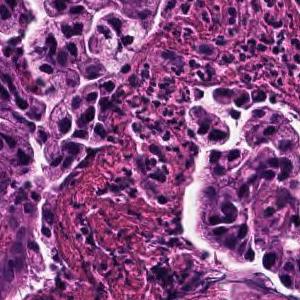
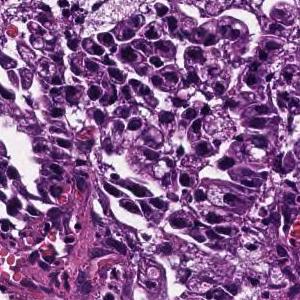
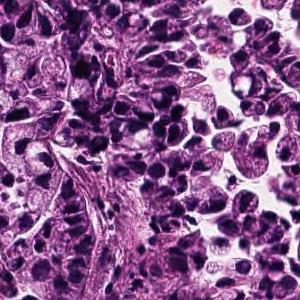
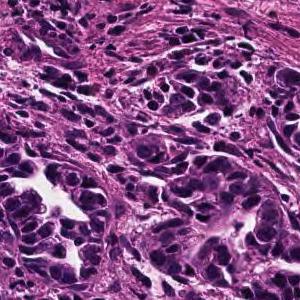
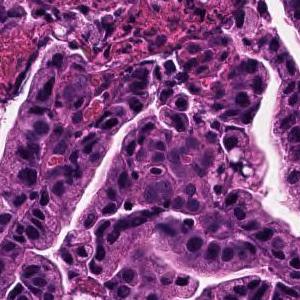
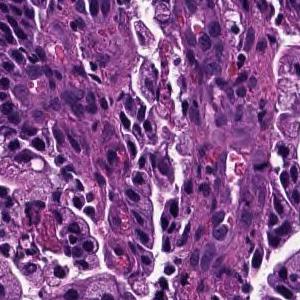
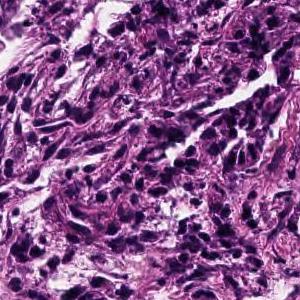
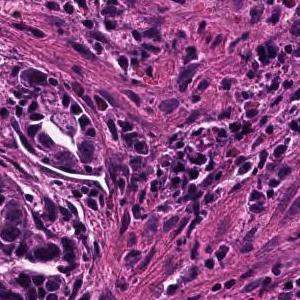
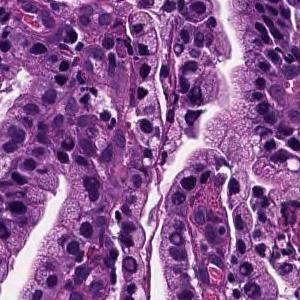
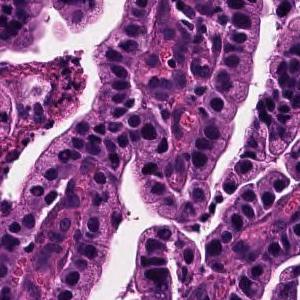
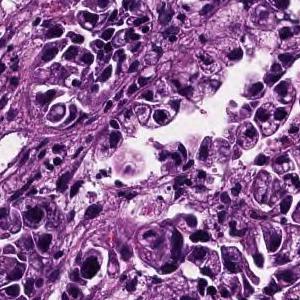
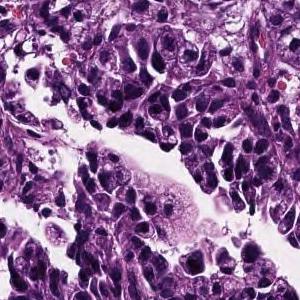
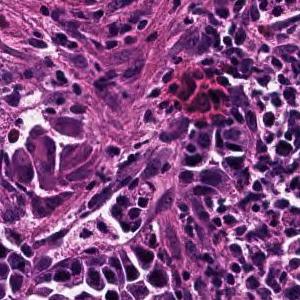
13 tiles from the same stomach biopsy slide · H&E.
The pathologist's report on the biopsy slide these tiles were taken from. What the report and the diagnosis say applies to the whole slide; these tiles may miss some of the features named and may include tissue that is not tumor.
Tumor cells are large, highly columnar, large club-shaped nuclei, and are associated with chromatin aggregation. Papillary adenocarcinoma.
